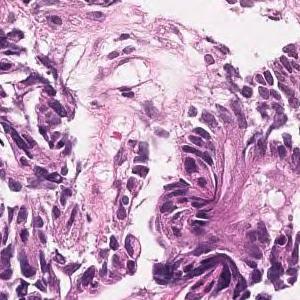
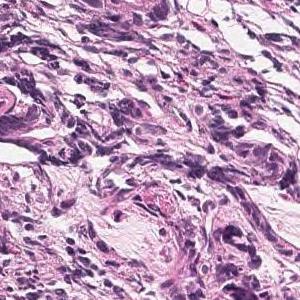
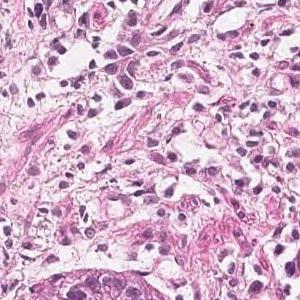
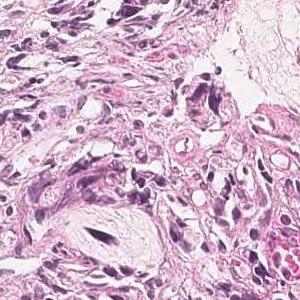
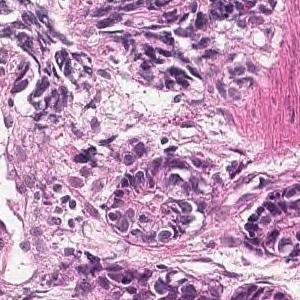
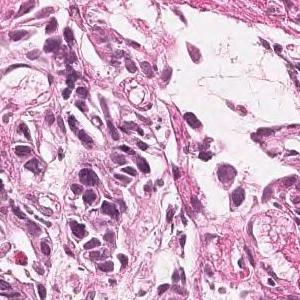
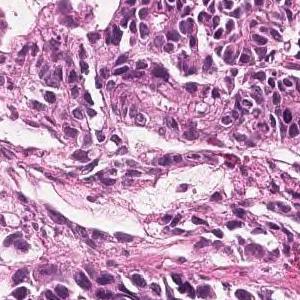
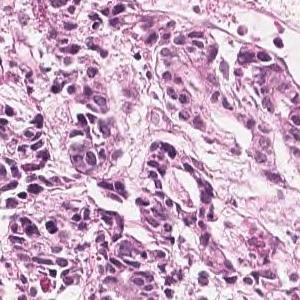
20× magnification · H&E · 8 tiles from the same stomach biopsy slide · 300 × 300 pixels each.
The pathologist's report on the biopsy slide these tiles were taken from. The report and the diagnosis describe the slide as a whole, so these tiles may not show every feature named and may include non-tumor tissue.
On the superficial epithelium, tumor tissue consisting of large, irregular glandular ducts partially fused and infiltrated is observed. Well to moderately differentiated tubular adenocarcinoma (well differentiated tubular adenocarcinoma, moderately differentiated tubular adenocarcinoma)
Classified as well to moderately differentiated tubular adenocarcinoma.
